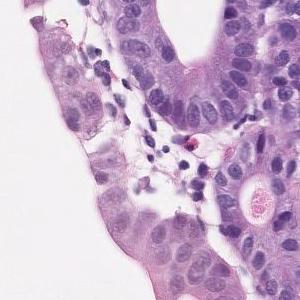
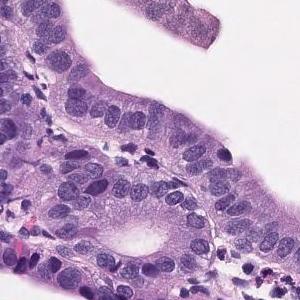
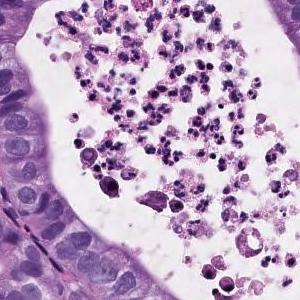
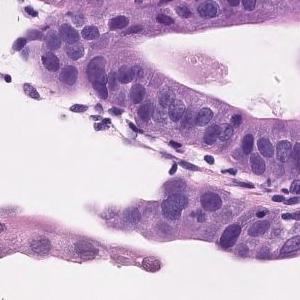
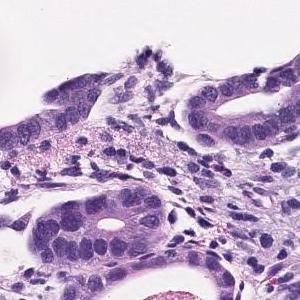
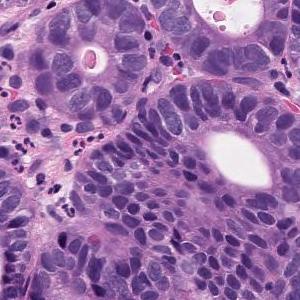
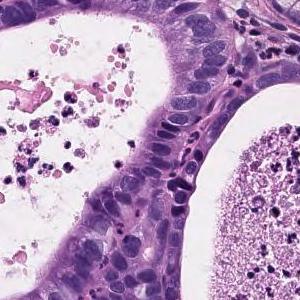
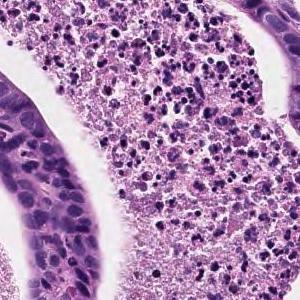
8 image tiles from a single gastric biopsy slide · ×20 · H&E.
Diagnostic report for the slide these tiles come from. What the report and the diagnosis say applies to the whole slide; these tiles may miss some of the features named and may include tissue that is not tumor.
Tumor tissue consisting of proliferative medium to large, round or irregular glandular ducts in the superficial epithelium. Well differentiated adenocarcinoma.
Subtype: Well differentiated tubular adenocarcinoma.
